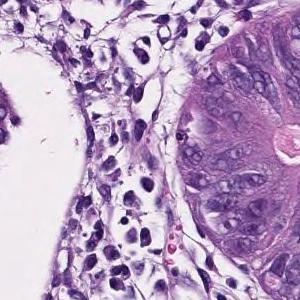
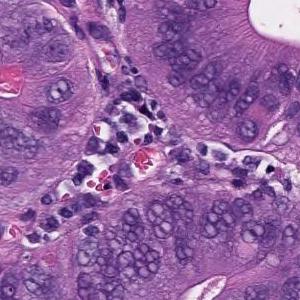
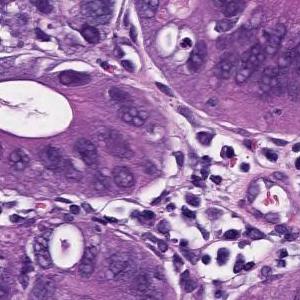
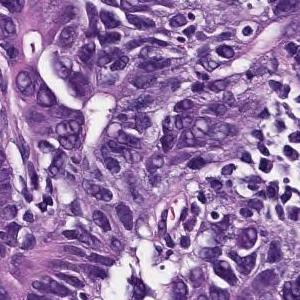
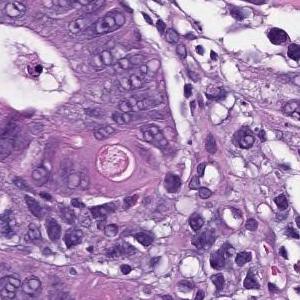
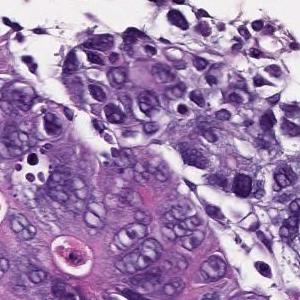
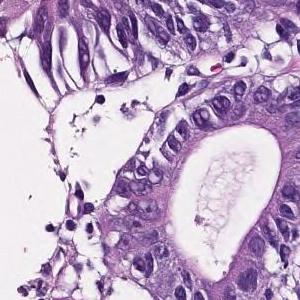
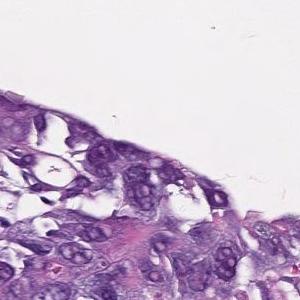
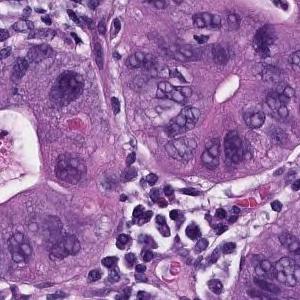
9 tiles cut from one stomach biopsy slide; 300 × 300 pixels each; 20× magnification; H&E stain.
Diagnostic report for the slide these tiles come from. Both the report and the diagnosis are for the whole slide: these tiles need not show every feature named, and some of the tissue shown may not be tumor.
In the superficial epithelium, tumor tissue that invades by forming medium-sized to small, irregular ducts is observed. moderately differentiated tubular adenocarcinoma.
